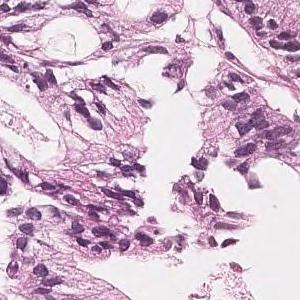
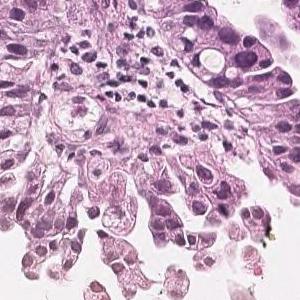
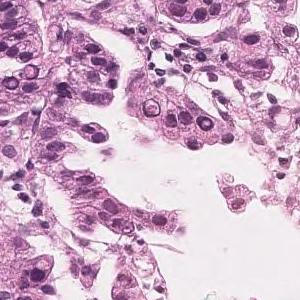
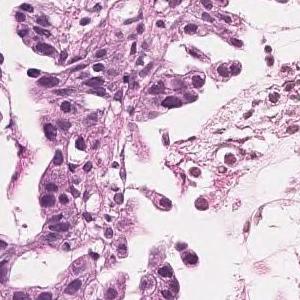
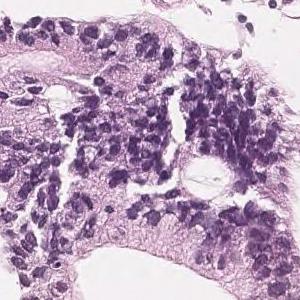
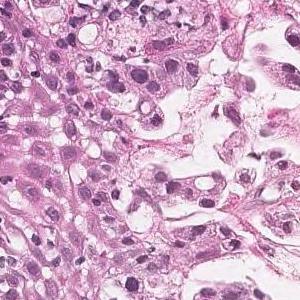
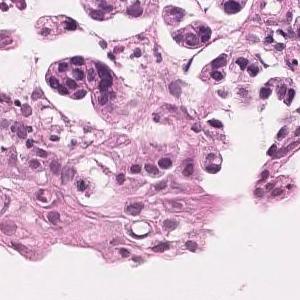
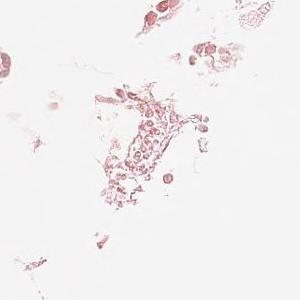
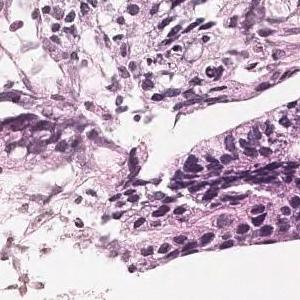
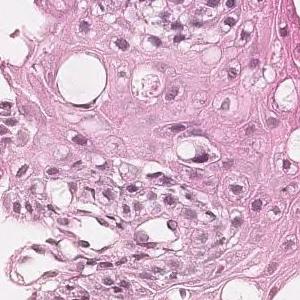
10 patches cut from one gastric biopsy slide · 20× magnification · H&E stain.
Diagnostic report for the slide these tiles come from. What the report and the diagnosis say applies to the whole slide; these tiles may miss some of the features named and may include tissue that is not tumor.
Tumor cells are large, highly columnar, large club-shaped nuclei, and are associated with chromatin aggregation. Papillary adenocarcinoma.
